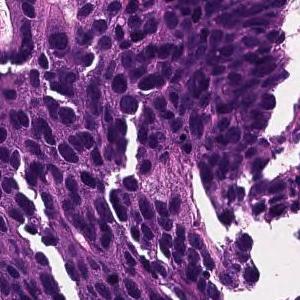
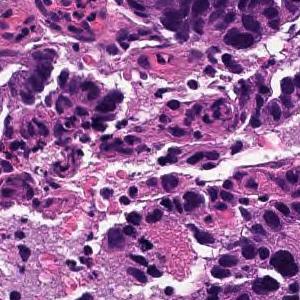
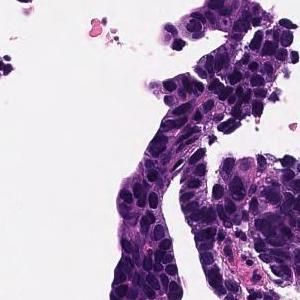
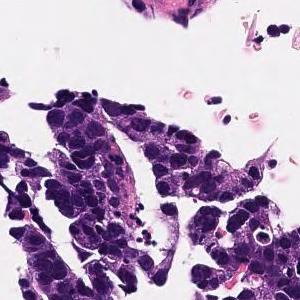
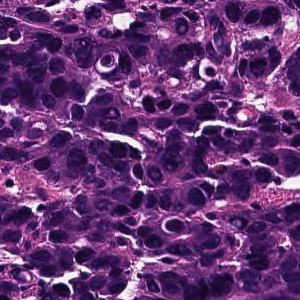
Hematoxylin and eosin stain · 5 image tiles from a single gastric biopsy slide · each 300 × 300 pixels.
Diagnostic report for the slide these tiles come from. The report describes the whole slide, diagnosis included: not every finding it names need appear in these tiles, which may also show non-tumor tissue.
In the superficial epithelium, tumor tissue that invades by forming medium-sized to small, irregular ducts is observed. moderately differentiated tubular adenocarcinoma.
